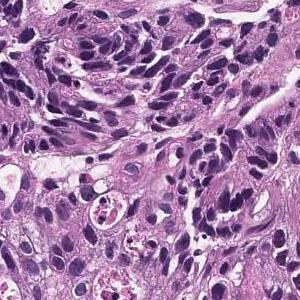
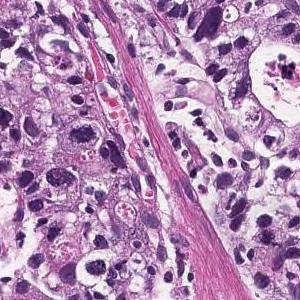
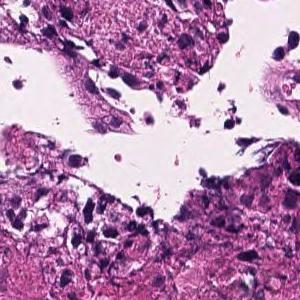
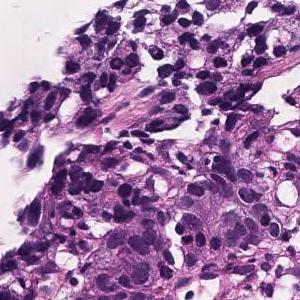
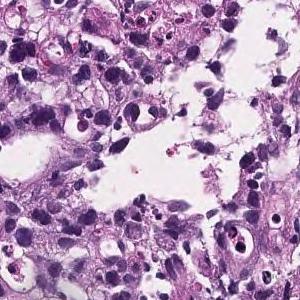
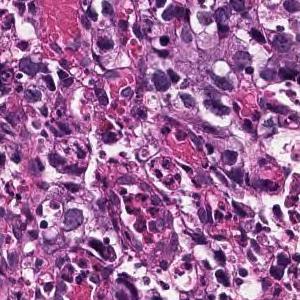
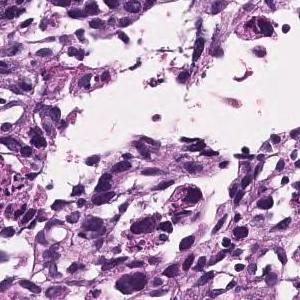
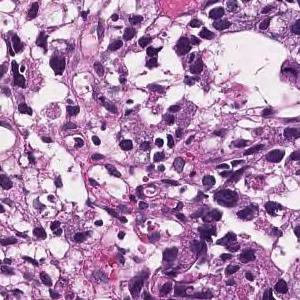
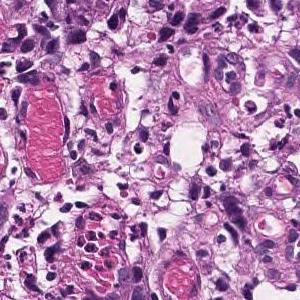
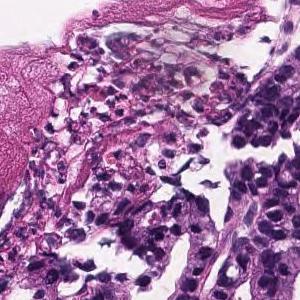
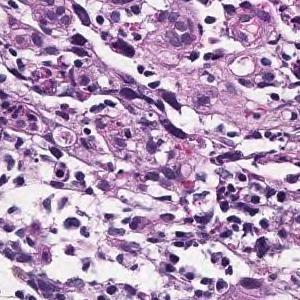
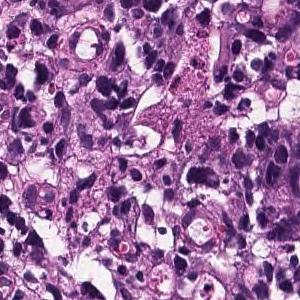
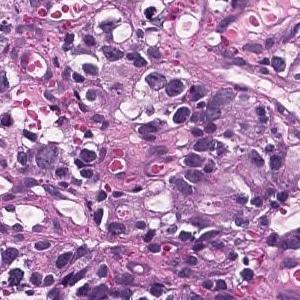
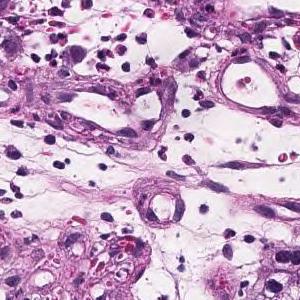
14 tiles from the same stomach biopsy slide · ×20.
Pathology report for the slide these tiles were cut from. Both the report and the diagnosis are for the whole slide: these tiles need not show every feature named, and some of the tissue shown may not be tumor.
Tumor tissue consisting of medium-sized, cord-like or irregular glandular infiltration is observed in the superficial epithelium. Poorly differentiated adenocarcinoma, non-solid type or moderately differentiated tubular adenocarcinoma
The term "non-solid type" comes from the Japanese Classification of Gastric Carcinoma.
